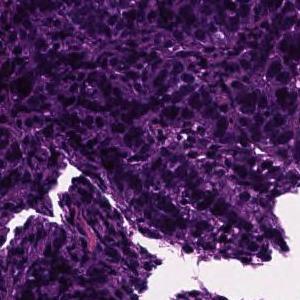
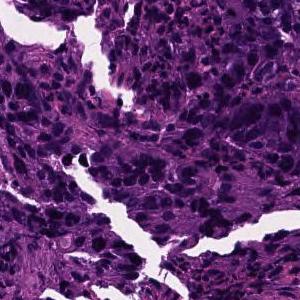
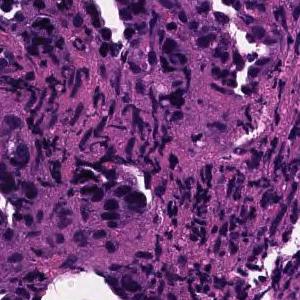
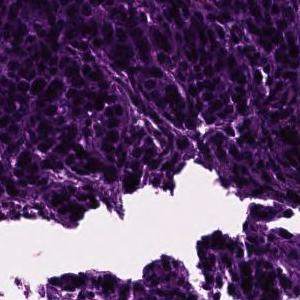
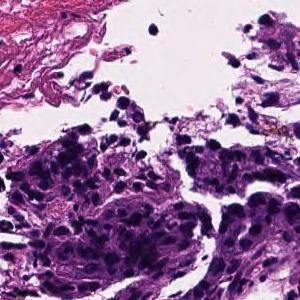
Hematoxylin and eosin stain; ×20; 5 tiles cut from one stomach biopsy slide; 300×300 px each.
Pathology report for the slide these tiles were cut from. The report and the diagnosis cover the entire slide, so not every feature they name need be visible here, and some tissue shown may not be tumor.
In the superficial epithelium, tumor tissue that invades by forming medium-sized to small, irregular ducts is observed. moderately differentiated tubular adenocarcinoma.
